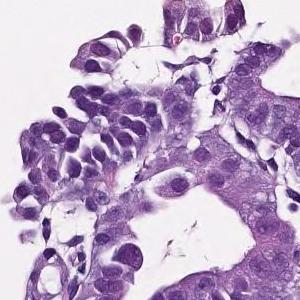
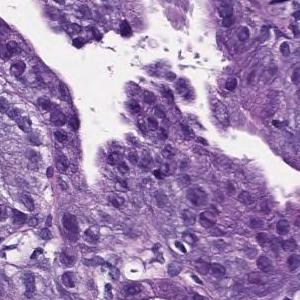
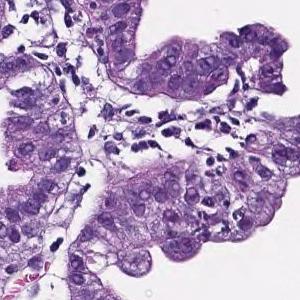
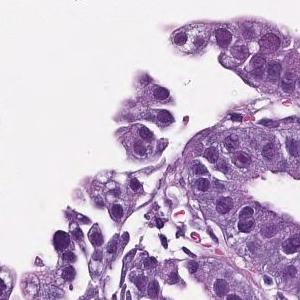
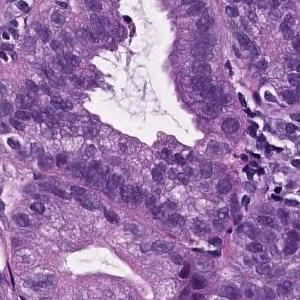
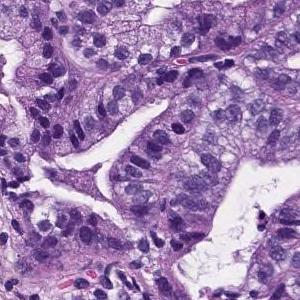
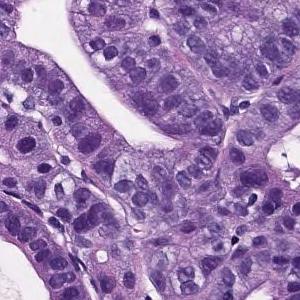
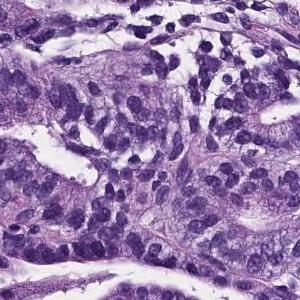
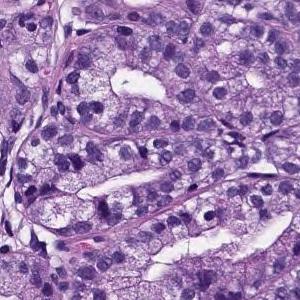
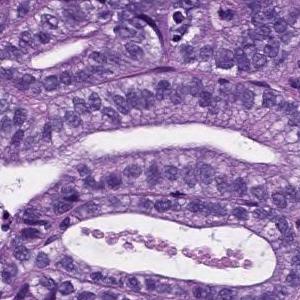
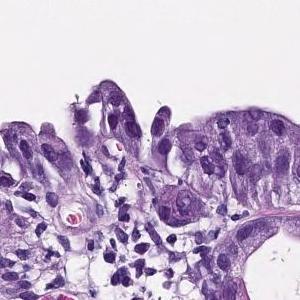
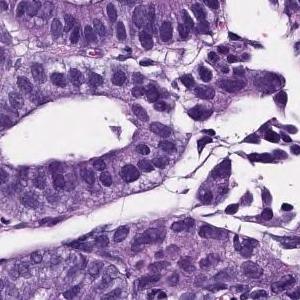
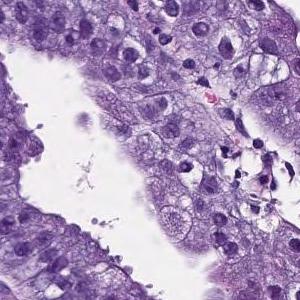
13 patches cut from one gastric biopsy slide, 300×300 px each, ×20.
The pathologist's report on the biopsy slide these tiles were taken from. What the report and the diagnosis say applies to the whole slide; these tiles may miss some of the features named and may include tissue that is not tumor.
On the superficial epithelium, tumor tissue that infiltrates by forming medium-sized papillary or small irregular ducts is observed. Papillary adenocarcinoma
